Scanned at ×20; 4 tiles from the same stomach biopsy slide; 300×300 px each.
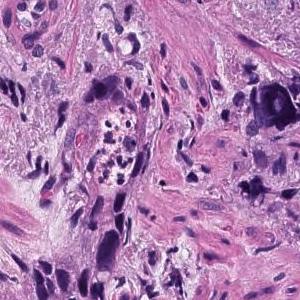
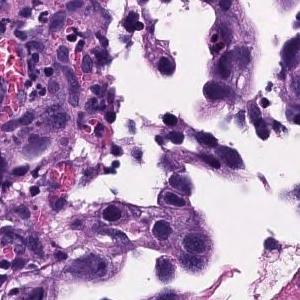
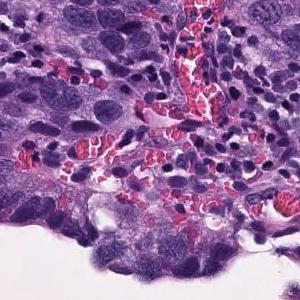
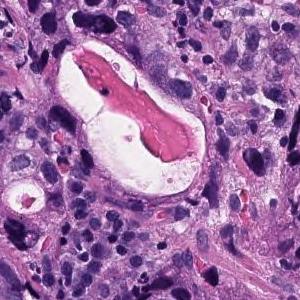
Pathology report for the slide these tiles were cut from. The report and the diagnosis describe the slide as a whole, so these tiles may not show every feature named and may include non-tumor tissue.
In the epithelium, tumor tissue in which medium to small irregular gland ducts fuse with each other and infiltrate the submucosa. moderately differentiated tubular adenocarcinoma
